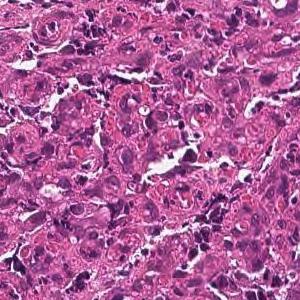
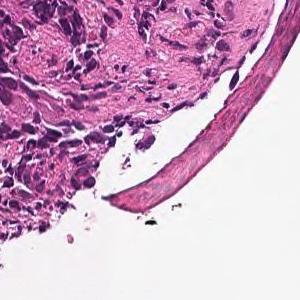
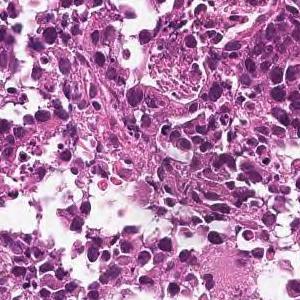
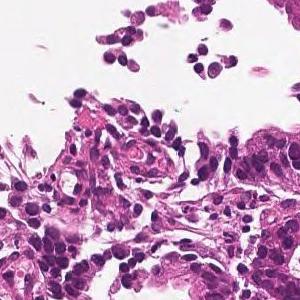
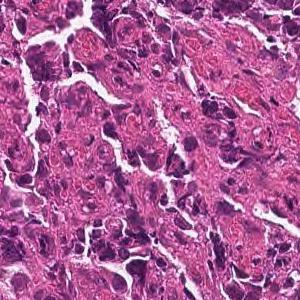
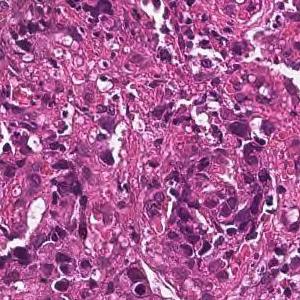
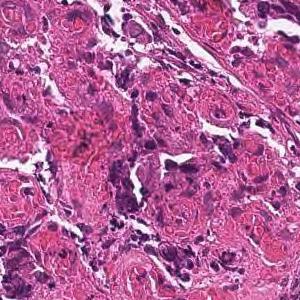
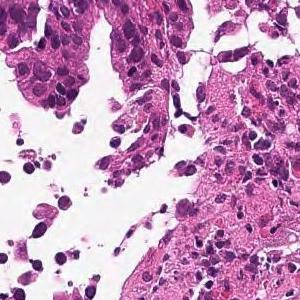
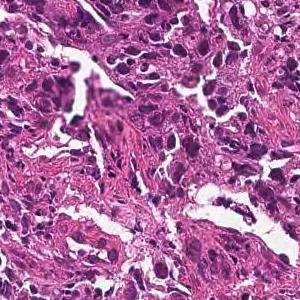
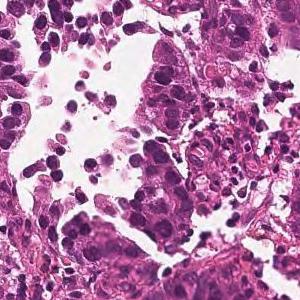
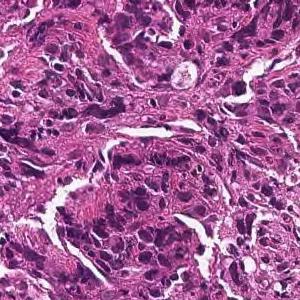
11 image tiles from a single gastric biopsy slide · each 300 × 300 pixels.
Diagnostic report for the slide these tiles come from. The findings and the diagnosis refer to the entire slide; these tiles show only part of it, possibly with non-tumor tissue, and may not show every feature named.
Tumor tissue consisting of medium-sized, cord-like or irregular glandular infiltration is observed in the superficial epithelium. Poorly differentiated adenocarcinoma, non-solid type or moderately differentiated tubular adenocarcinoma
Histological subtype: Moderately to poorly differentiated adenocarcinoma.
The term "non-solid type" comes from the Japanese Classification of Gastric Carcinoma.
